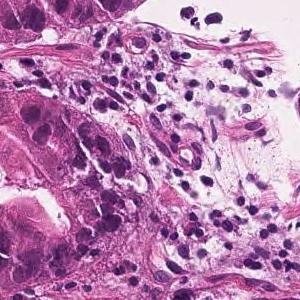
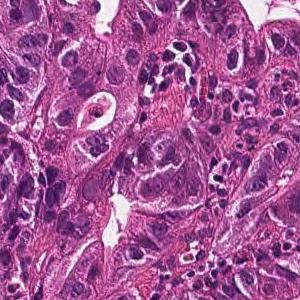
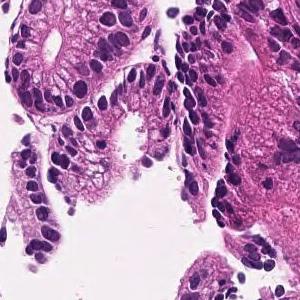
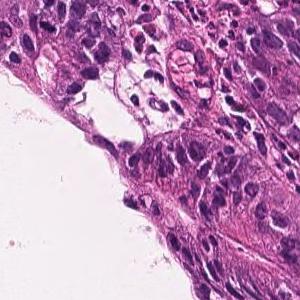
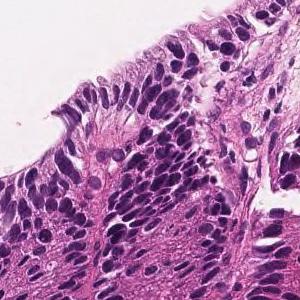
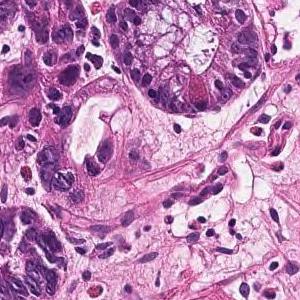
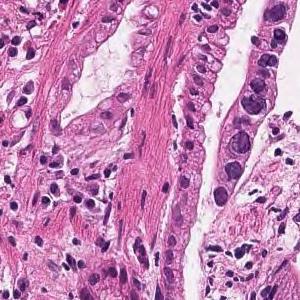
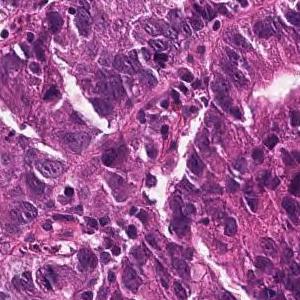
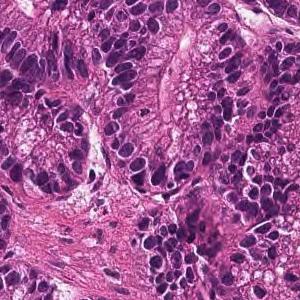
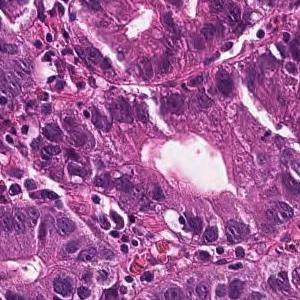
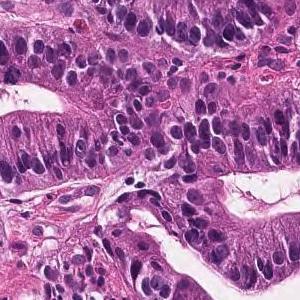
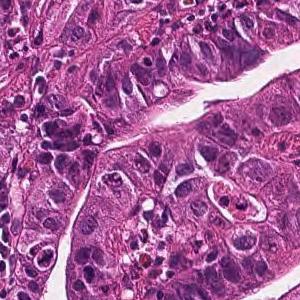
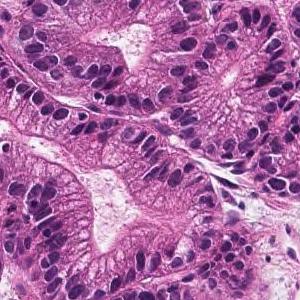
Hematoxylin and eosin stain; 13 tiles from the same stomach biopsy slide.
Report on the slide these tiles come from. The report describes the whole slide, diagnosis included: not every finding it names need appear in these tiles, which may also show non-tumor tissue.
In the superficial epithelium, tumor tissue that invades by forming medium-sized to small, irregular ducts is observed. moderately differentiated tubular adenocarcinoma.
